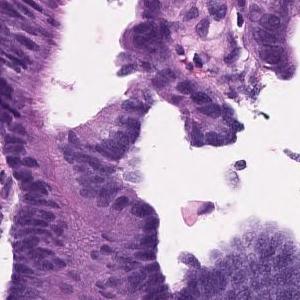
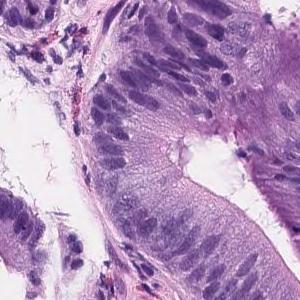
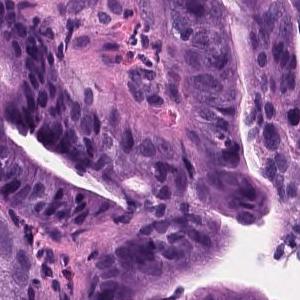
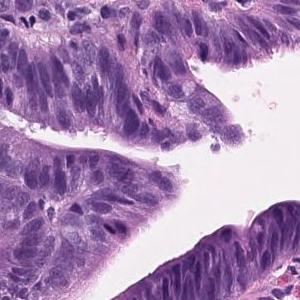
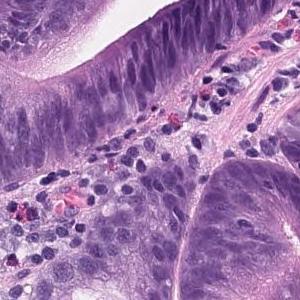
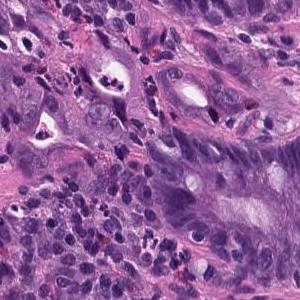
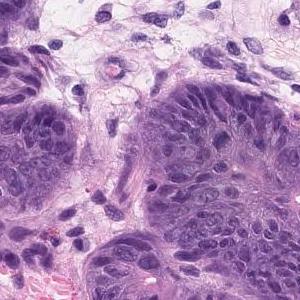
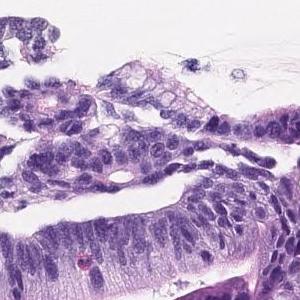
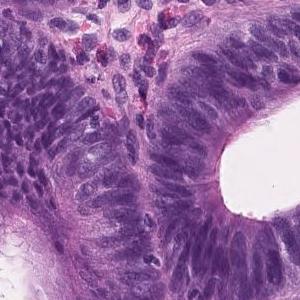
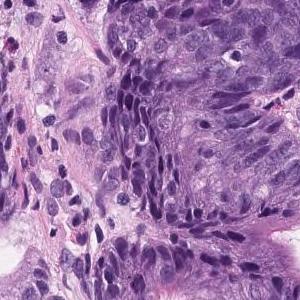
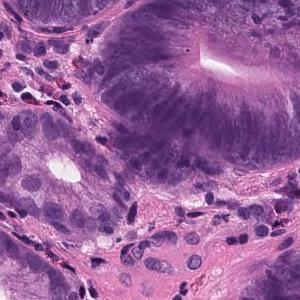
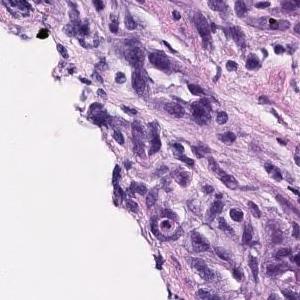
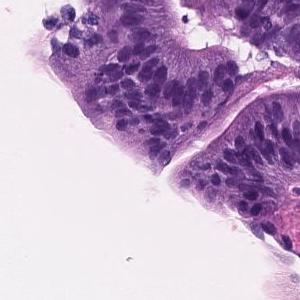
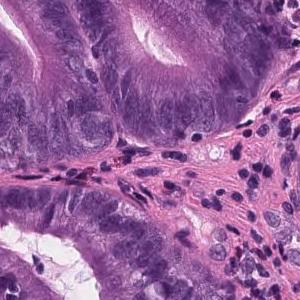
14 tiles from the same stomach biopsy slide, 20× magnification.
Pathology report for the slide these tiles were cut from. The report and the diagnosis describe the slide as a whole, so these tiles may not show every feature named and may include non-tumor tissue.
On the superficial epithelium, tumor tissue with densely growing medium to large, round tubules is observed. Tumor cells are highly columnar, with nuclei aligned basolaterally and polarized. Well differentiated tubular adenocarcinoma
